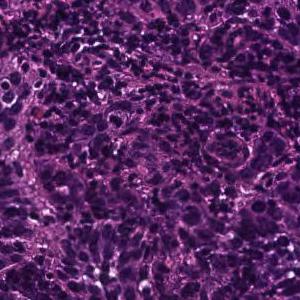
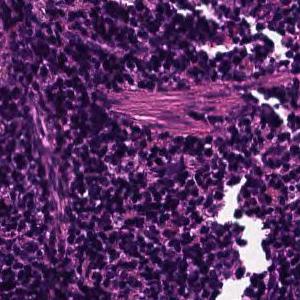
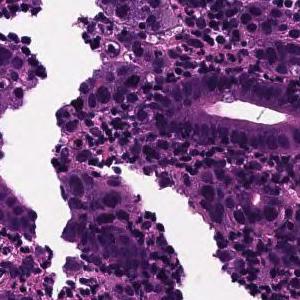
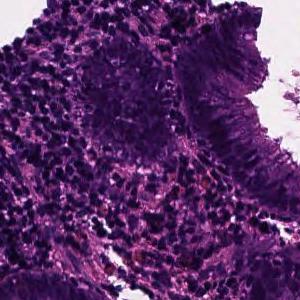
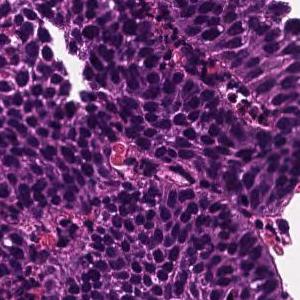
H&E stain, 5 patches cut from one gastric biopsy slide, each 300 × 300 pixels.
Report on the slide these tiles come from. The report and the diagnosis describe the slide as a whole, so these tiles may not show every feature named and may include non-tumor tissue.
Tumor tissue consisting of cord-like or small, irregular glandular ducts fused and infiltrated is observed in the superficial epithelium. Poorly differentiated adenocarcinoma, non-solid type
The term "non-solid type" comes from the Japanese Classification of Gastric Carcinoma.
